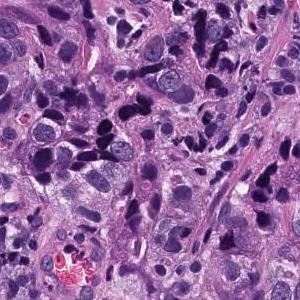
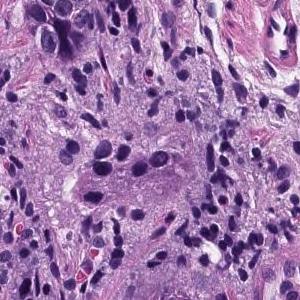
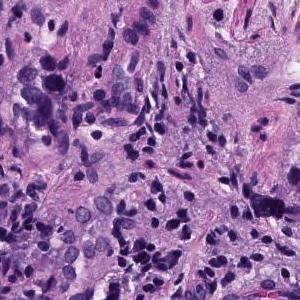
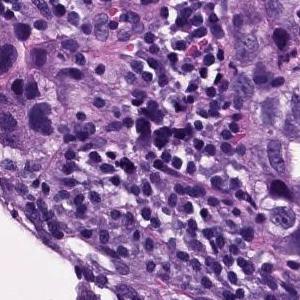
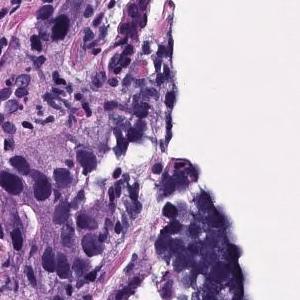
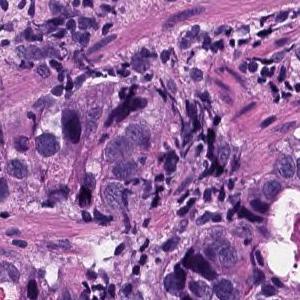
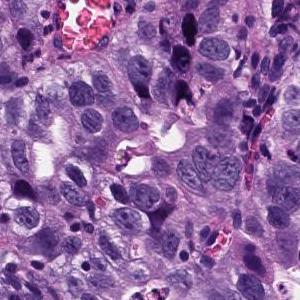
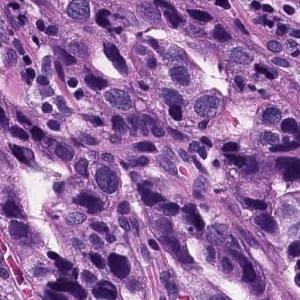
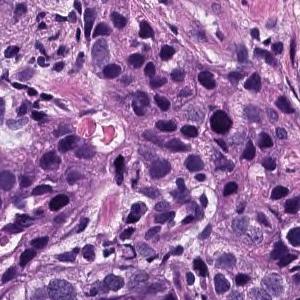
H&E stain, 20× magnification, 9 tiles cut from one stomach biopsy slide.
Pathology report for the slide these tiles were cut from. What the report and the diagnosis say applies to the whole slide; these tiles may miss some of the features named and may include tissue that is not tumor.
In the epithelium, tumor tissue in which medium to small irregular gland ducts fuse with each other and infiltrate the submucosa. moderately differentiated tubular adenocarcinoma
